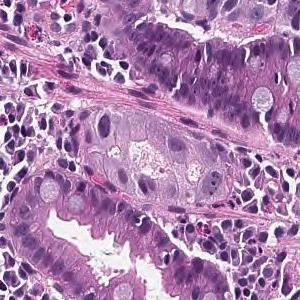
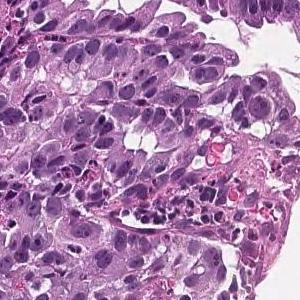
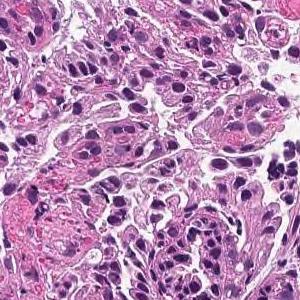
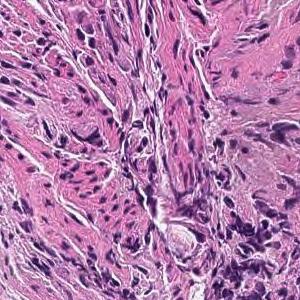
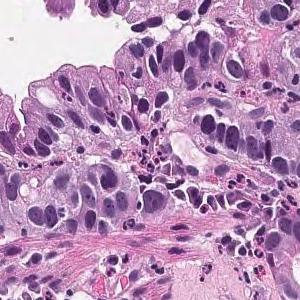
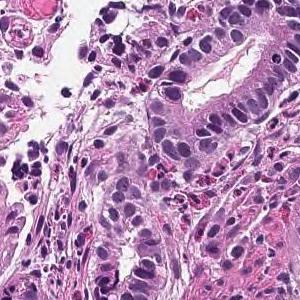
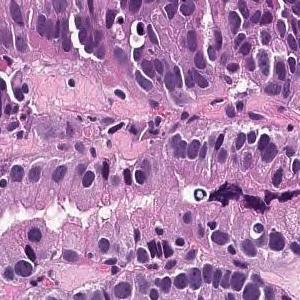
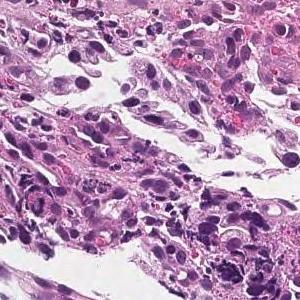
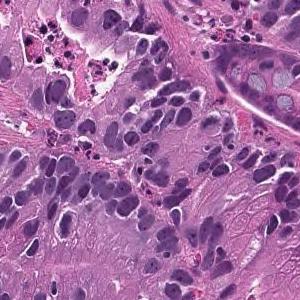
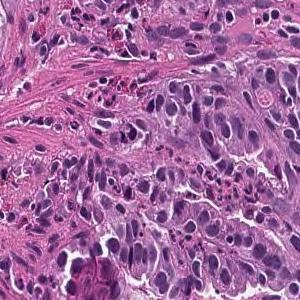
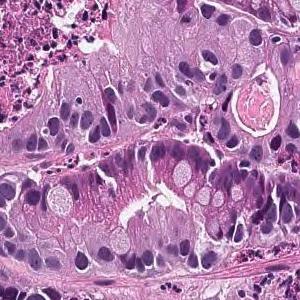
Hematoxylin and eosin stain · 20× magnification · 11 image tiles from a single gastric biopsy slide · each 300 × 300 pixels.
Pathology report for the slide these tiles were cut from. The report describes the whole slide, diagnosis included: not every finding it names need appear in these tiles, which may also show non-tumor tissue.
From the superficial epithelium to the muscularis mucosae, tumor tissue consisting of medium-sized and irregular glandular ducts infiltrating is observed. Well differentiated tubular adenocarcinoma
